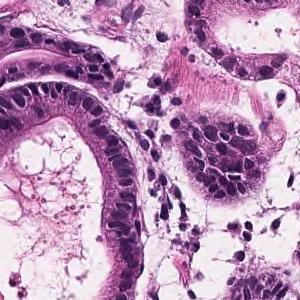
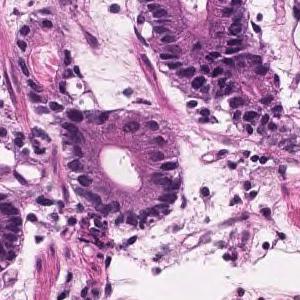
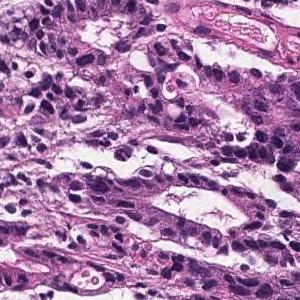
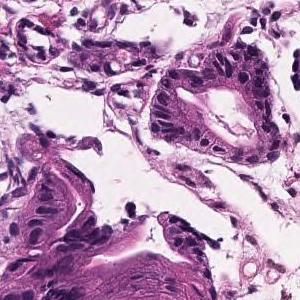
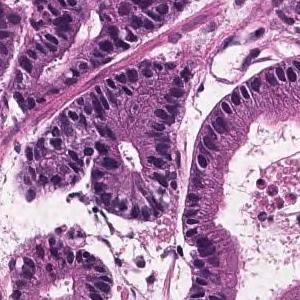
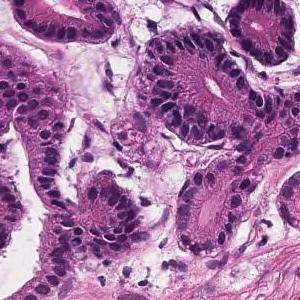
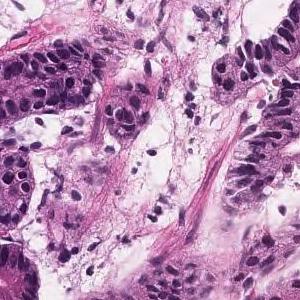
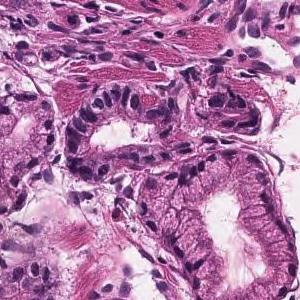
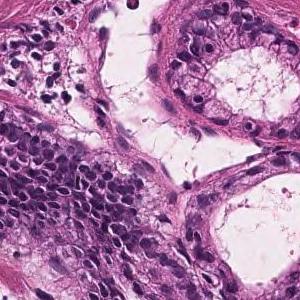
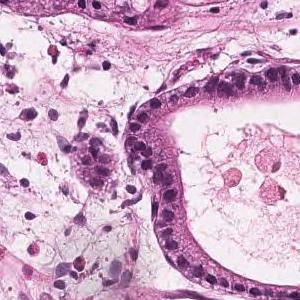
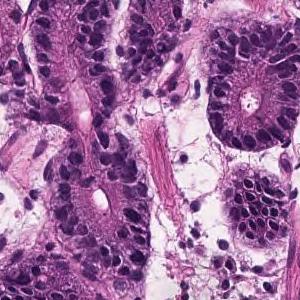
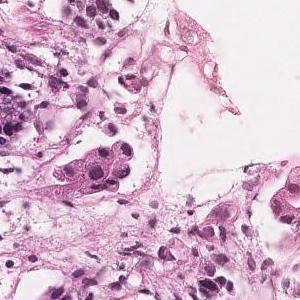
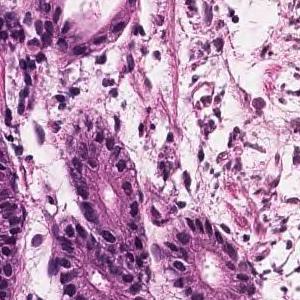
13 tiles cut from one stomach biopsy slide · 300×300 px each.
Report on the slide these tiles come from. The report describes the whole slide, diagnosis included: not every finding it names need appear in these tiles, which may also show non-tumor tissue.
Tumor tissue with atypical epithelium showing irregular ductal or sieving ductal structure and proliferating is observed. Well to moderately differentiated tubular adenocarcinoma (well differentiated tubular adenocarcinoma-moderately differentiated tubular adenocarcinoma)
Histologic type: Well to moderately differentiated tubular adenocarcinoma.
